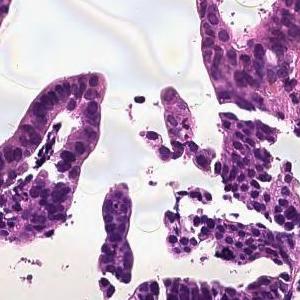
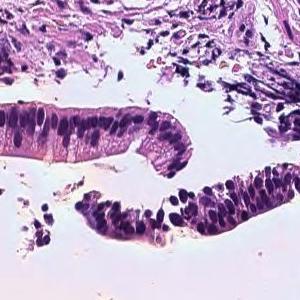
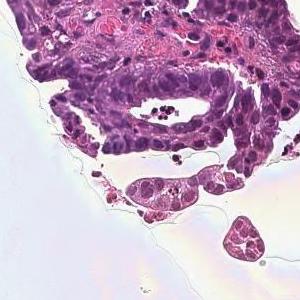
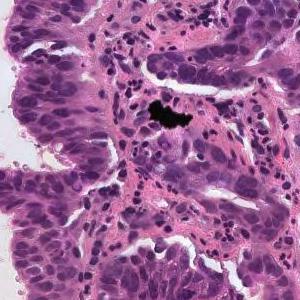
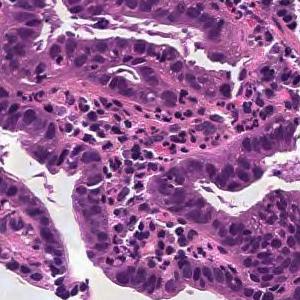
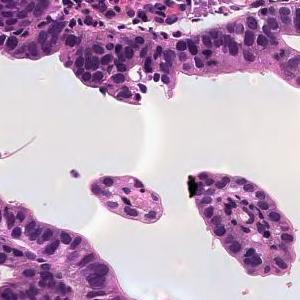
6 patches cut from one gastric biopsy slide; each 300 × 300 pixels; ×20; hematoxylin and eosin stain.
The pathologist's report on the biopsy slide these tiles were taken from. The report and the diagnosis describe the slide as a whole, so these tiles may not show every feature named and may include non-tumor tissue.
From the superficial epithelium to the muscularis mucosae, tumor tissue consisting of medium-sized and irregular glandular ducts infiltrating is observed. Well differentiated tubular adenocarcinoma
